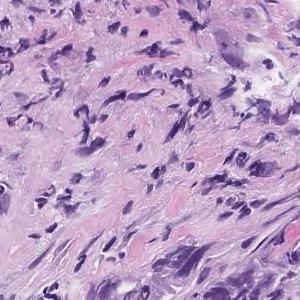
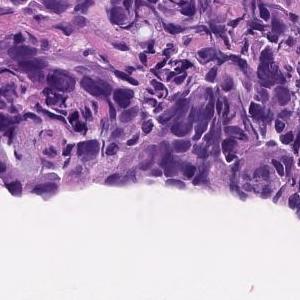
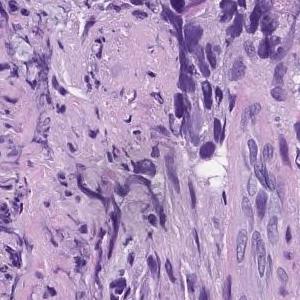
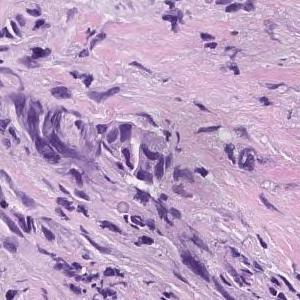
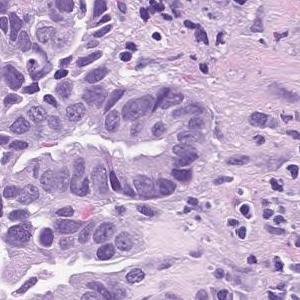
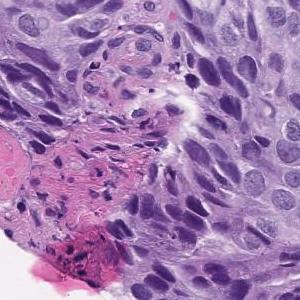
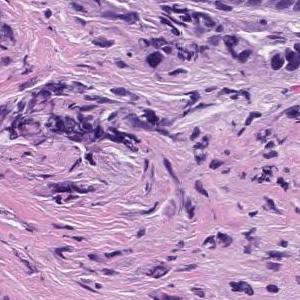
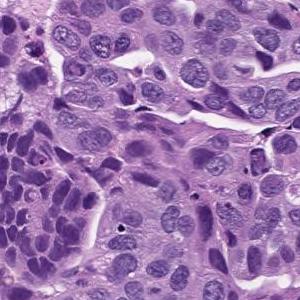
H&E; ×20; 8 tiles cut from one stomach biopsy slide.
Report on the slide these tiles come from. The report describes the whole slide, diagnosis included: not every finding it names need appear in these tiles, which may also show non-tumor tissue.
In the superficial epithelium, tumor tissue that invades by forming medium-sized to small, irregular ducts is observed. moderately differentiated tubular adenocarcinoma.
